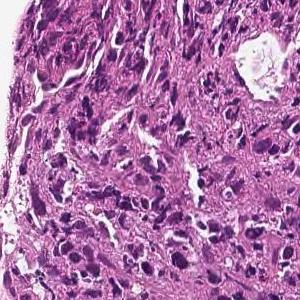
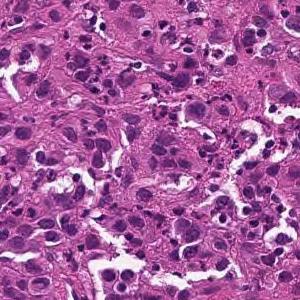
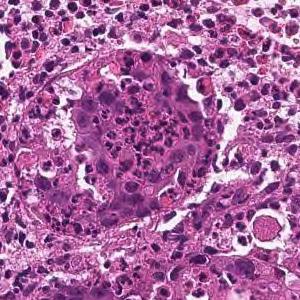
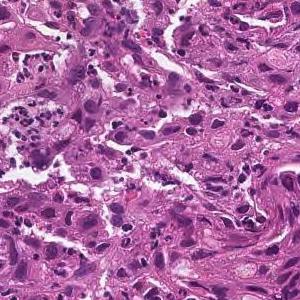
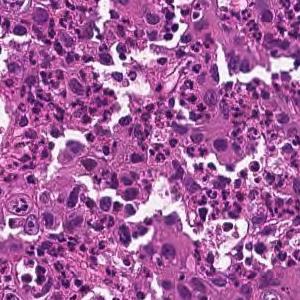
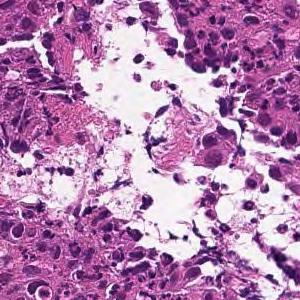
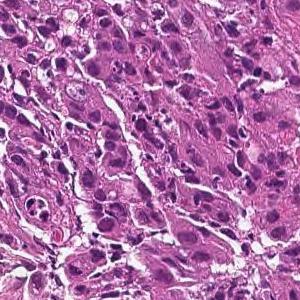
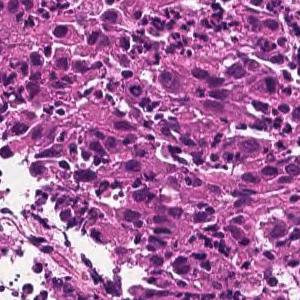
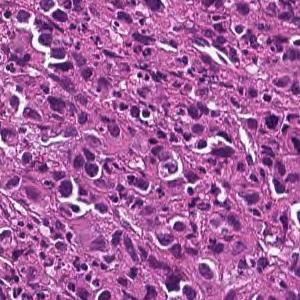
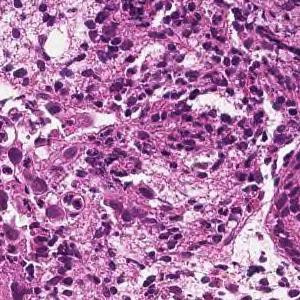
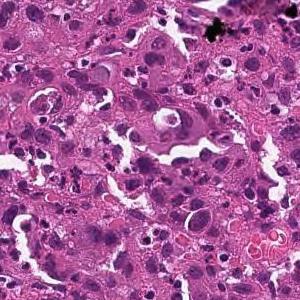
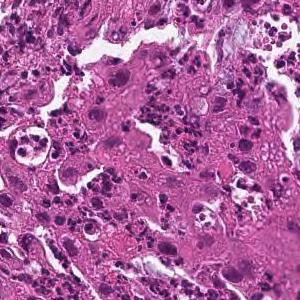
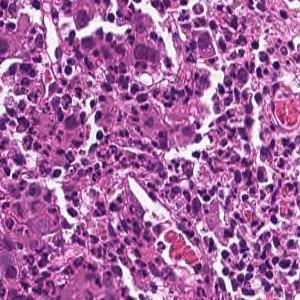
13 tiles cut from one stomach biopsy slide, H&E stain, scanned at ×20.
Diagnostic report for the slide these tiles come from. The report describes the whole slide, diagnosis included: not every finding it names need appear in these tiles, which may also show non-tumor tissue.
The superficial epithelium shows a large sheet-like shape, and some tumor tissue infiltrates with small irregular ducts. Poorly differentiated adenocarcinoma, solid-type
Histologic type: Poorly differentiated adenocarcinoma, solid type (Japanese Classification of Gastric Carcinoma). The WHO 2019 equivalent is tubular adenocarcinoma, poorly differentiated.
